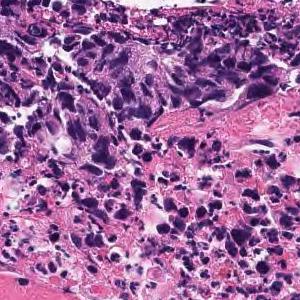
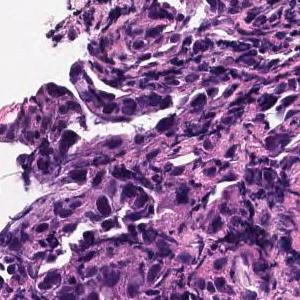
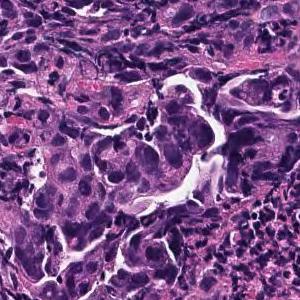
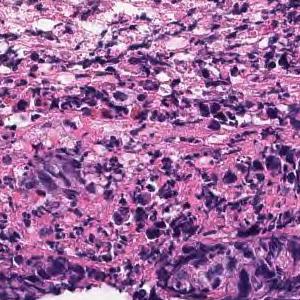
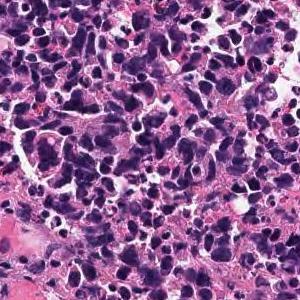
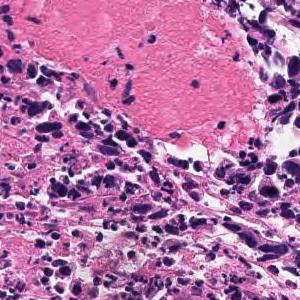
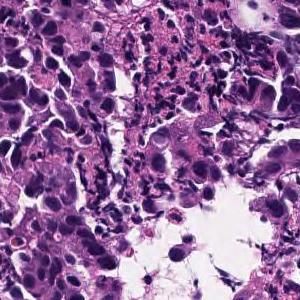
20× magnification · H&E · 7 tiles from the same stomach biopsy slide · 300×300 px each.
The pathologist's report on the biopsy slide these tiles were taken from. The findings and the diagnosis refer to the entire slide; these tiles show only part of it, possibly with non-tumor tissue, and may not show every feature named.
In the superficial epithelium, tumor tissue that invades by forming medium-sized to small, irregular ducts is observed. Tumor cells are columnar or cuboidal in shape. Moderately differentiated adenocarcinoma.
Histologic type: Moderately differentiated tubular adenocarcinoma.
